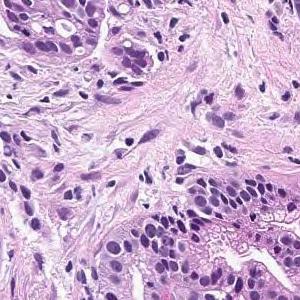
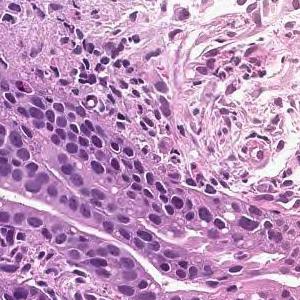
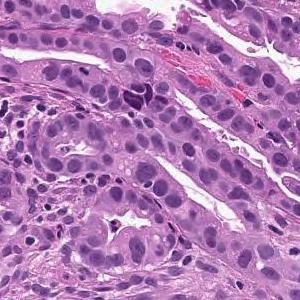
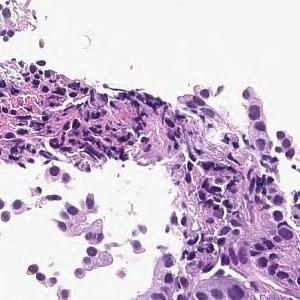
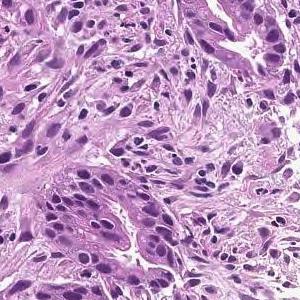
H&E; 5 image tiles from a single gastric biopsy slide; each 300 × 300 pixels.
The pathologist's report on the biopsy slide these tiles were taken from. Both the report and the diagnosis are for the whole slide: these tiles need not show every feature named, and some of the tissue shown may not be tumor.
On the superficial epithelium, tumor tissue that infiltrates by forming medium-sized papillary or small irregular ducts is observed. Papillary adenocarcinoma
